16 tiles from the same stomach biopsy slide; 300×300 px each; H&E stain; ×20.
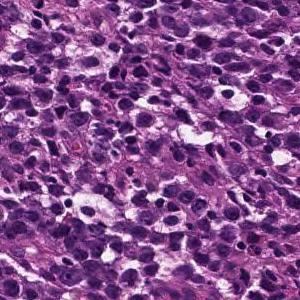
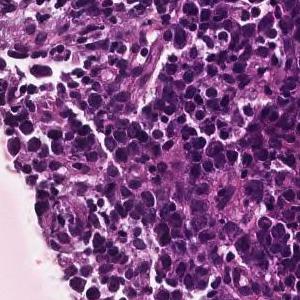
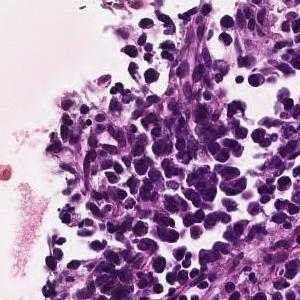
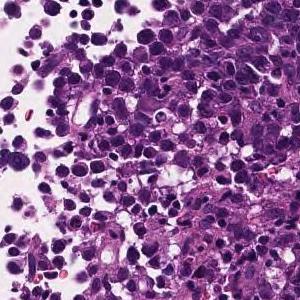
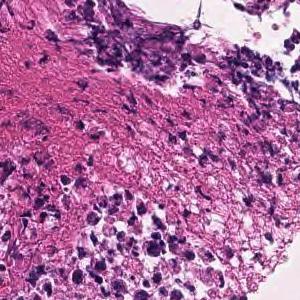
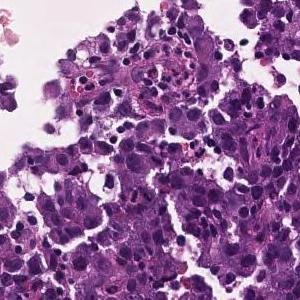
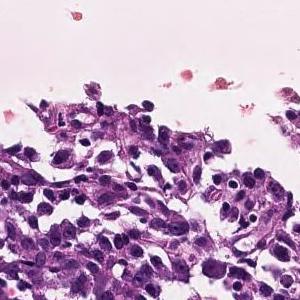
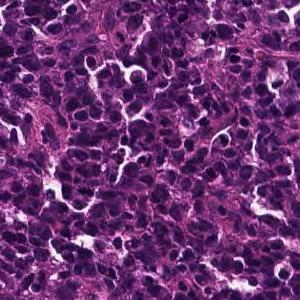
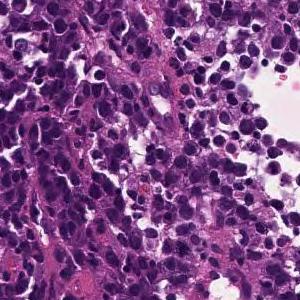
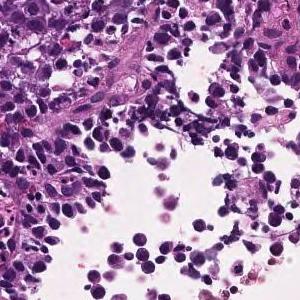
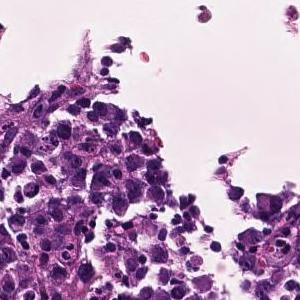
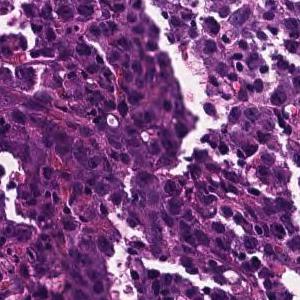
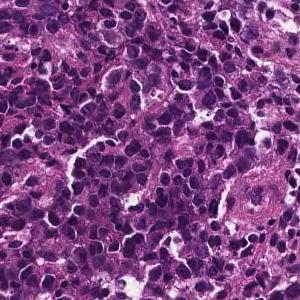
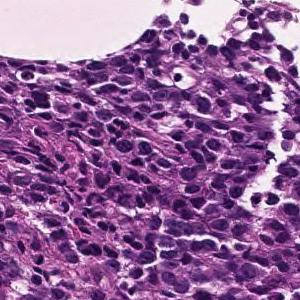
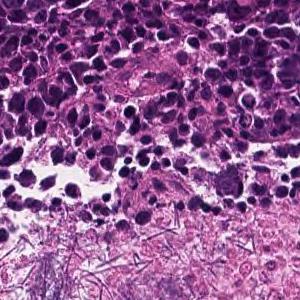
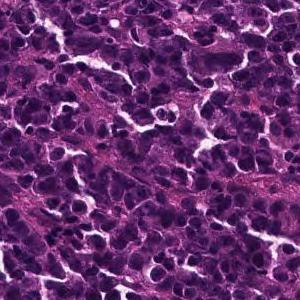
Report on the slide these tiles come from. What the report and the diagnosis say applies to the whole slide; these tiles may miss some of the features named and may include tissue that is not tumor.
The superficial epithelium shows a large sheet-like shape, and some tumor tissue infiltrates with small irregular ducts. Poorly differentiated adenocarcinoma, solid-type
Classified as poorly differentiated adenocarcinoma, solid type. This name comes from the Japanese Classification of Gastric Carcinoma; the WHO 2019 classification calls it tubular adenocarcinoma, poorly differentiated.
